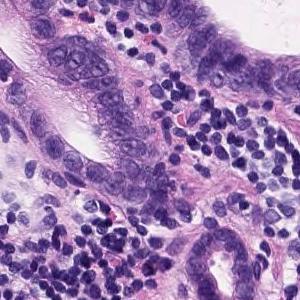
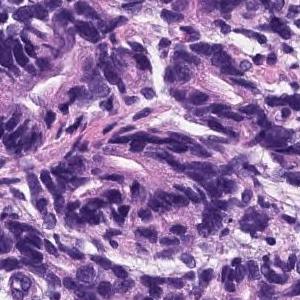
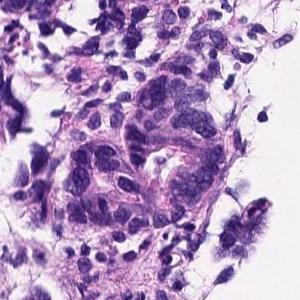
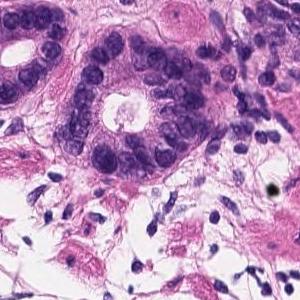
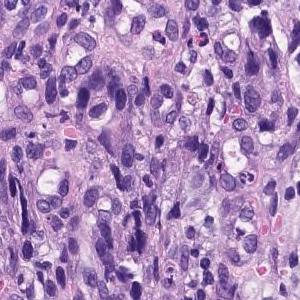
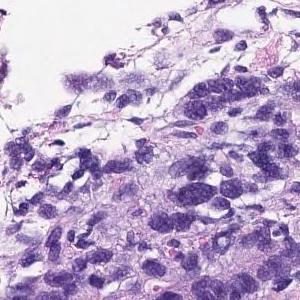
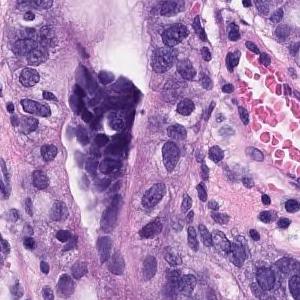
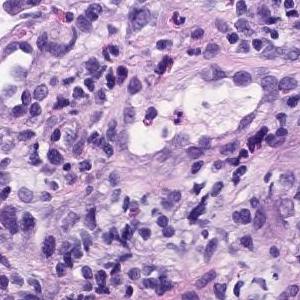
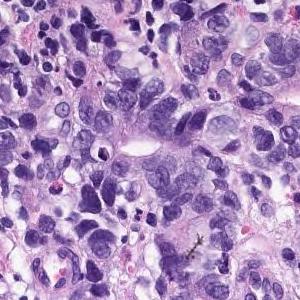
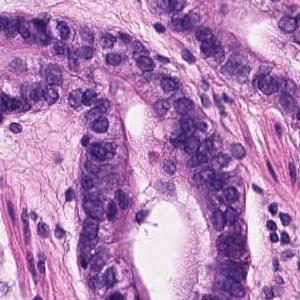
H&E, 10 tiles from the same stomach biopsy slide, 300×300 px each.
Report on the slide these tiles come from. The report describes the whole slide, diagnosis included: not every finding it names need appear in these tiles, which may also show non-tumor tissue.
On the superficial epithelium, tumor tissue consisting of images showing invasive growth with small, irregular tubules partially fused is observed. moderately differentiated tubular adenocarcinoma
